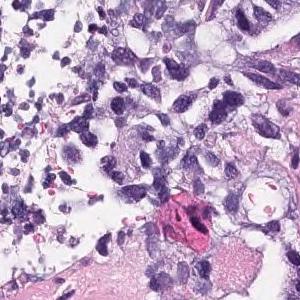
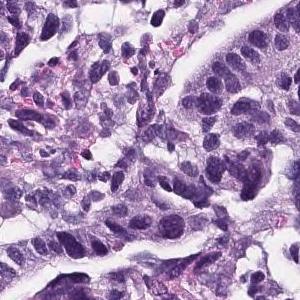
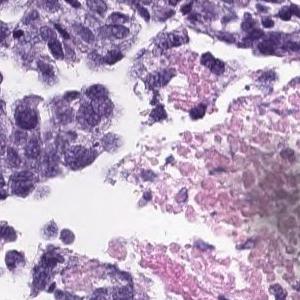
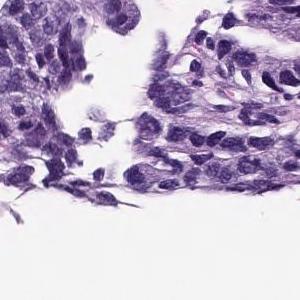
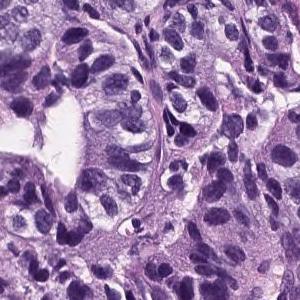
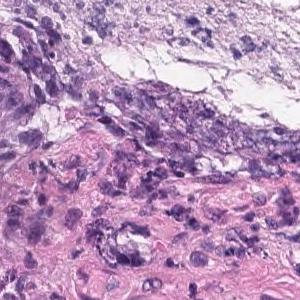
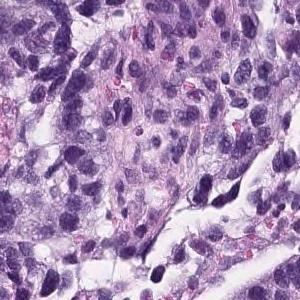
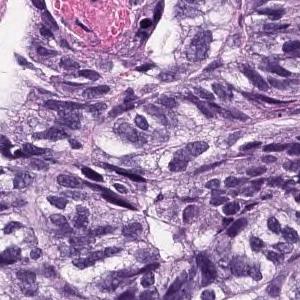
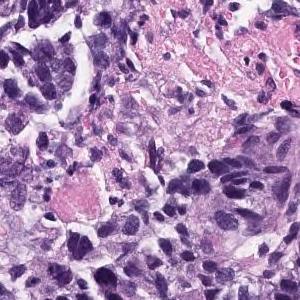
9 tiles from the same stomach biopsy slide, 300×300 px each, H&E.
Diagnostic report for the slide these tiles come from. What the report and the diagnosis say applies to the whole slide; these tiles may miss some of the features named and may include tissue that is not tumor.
The superficial epithelium shows a large sheet-like shape, and some tumor tissue infiltrates with small irregular ducts. Poorly differentiated adenocarcinoma, solid-type
Classified as poorly differentiated adenocarcinoma, solid type. This name comes from the Japanese Classification of Gastric Carcinoma; the WHO 2019 classification calls it tubular adenocarcinoma, poorly differentiated.
